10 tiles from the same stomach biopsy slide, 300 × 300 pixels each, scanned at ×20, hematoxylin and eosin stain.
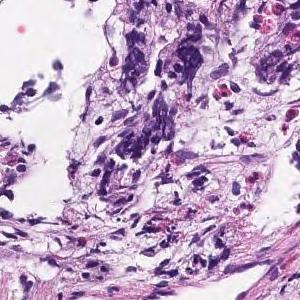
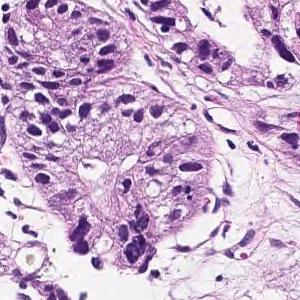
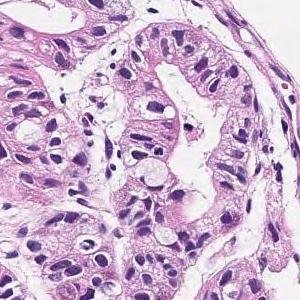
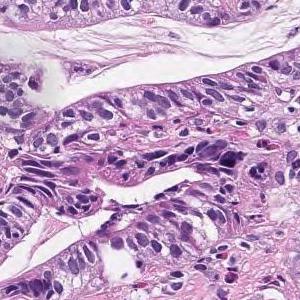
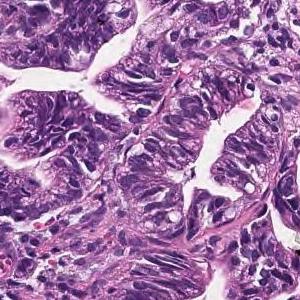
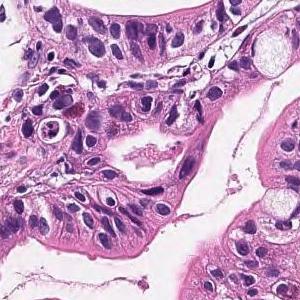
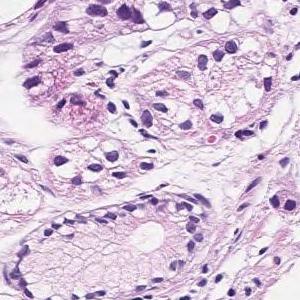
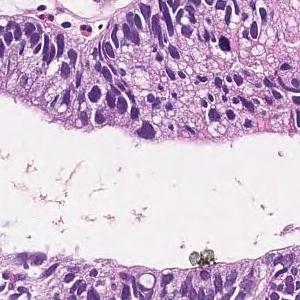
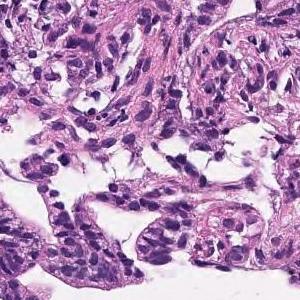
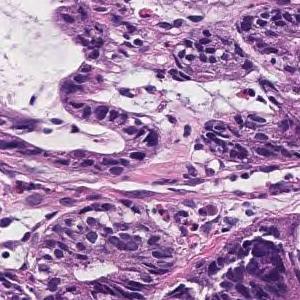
Diagnostic report for the slide these tiles come from. The report describes the whole slide, diagnosis included: not every finding it names need appear in these tiles, which may also show non-tumor tissue.
In the superficial epithelium, tumor tissue that invades by forming medium-sized to small, irregular ducts is observed. Moderately differentiated adenocarcinoma.
Tumor subtype: moderately differentiated tubular adenocarcinoma.
